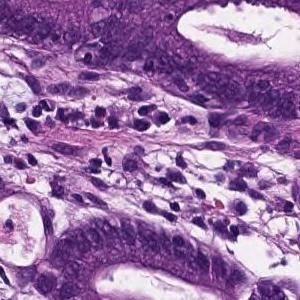
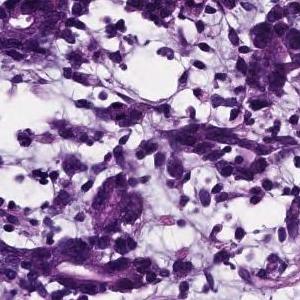
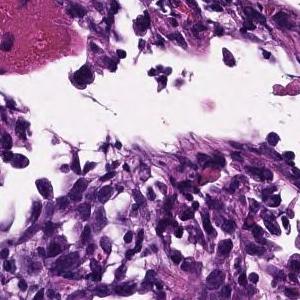
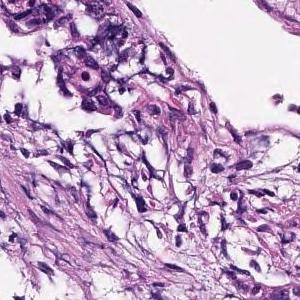
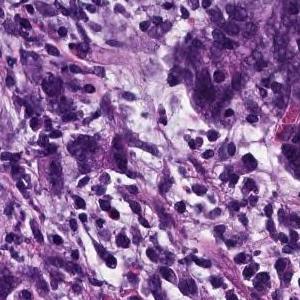
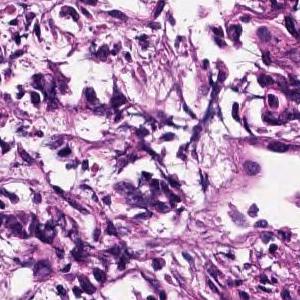
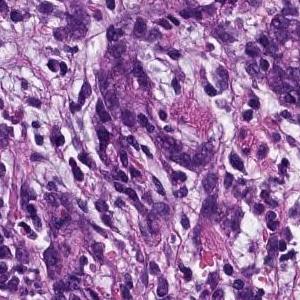
7 tiles cut from one stomach biopsy slide · scanned at ×20 · hematoxylin and eosin stain.
Report on the slide these tiles come from. Both the report and the diagnosis are for the whole slide: these tiles need not show every feature named, and some of the tissue shown may not be tumor.
Tumor tissue consisting of medium-sized, cord-like or irregular glandular infiltration is observed in the superficial epithelium. Poorly differentiated adenocarcinoma, non-solid type or moderately differentiated tubular adenocarcinoma
Classified as moderately to poorly differentiated adenocarcinoma.
The term "non-solid type" comes from the Japanese Classification of Gastric Carcinoma.
